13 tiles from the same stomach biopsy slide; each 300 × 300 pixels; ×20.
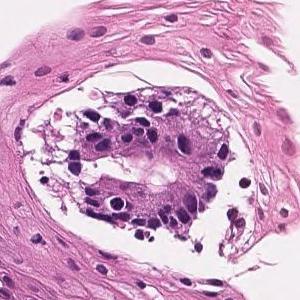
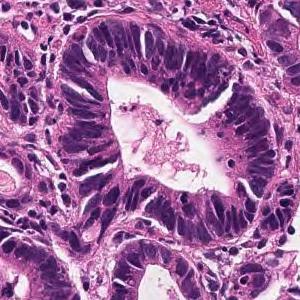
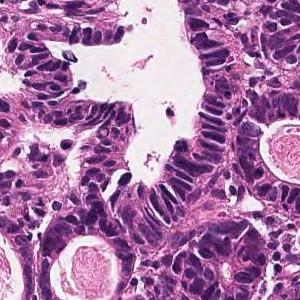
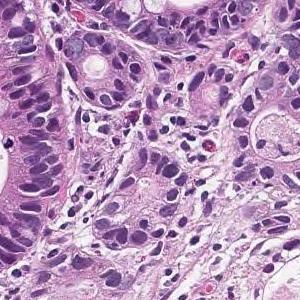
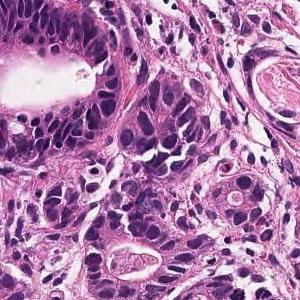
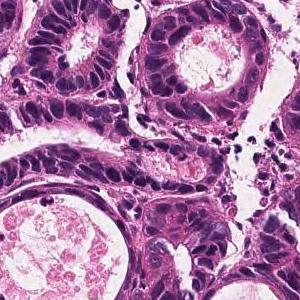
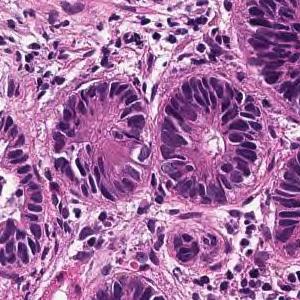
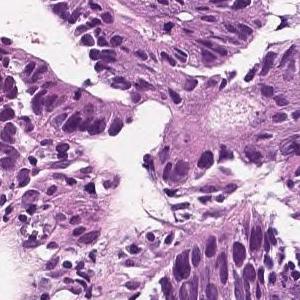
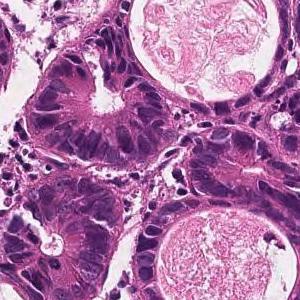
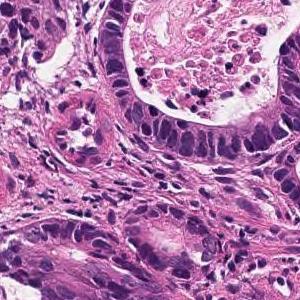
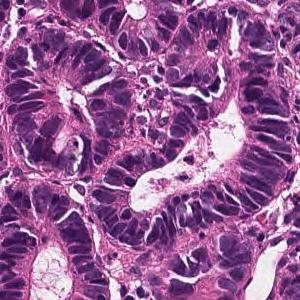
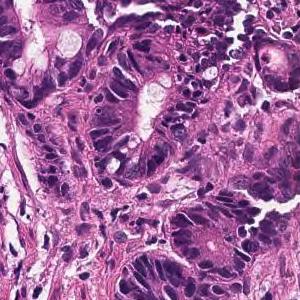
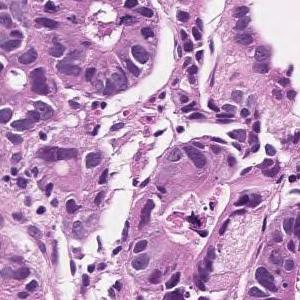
Diagnostic report for the slide these tiles come from. The report and the diagnosis cover the entire slide, so not every feature they name need be visible here, and some tissue shown may not be tumor.
In the superficial epithelium, tumor tissue that invades by forming medium-sized to small, irregular ducts is observed. Well differentiated tubular adenocarcinoma.
